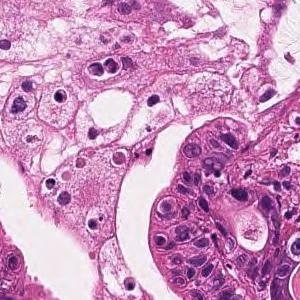
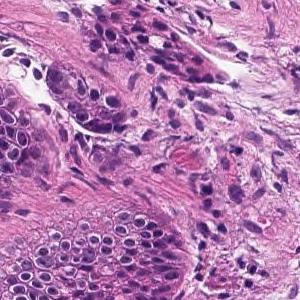
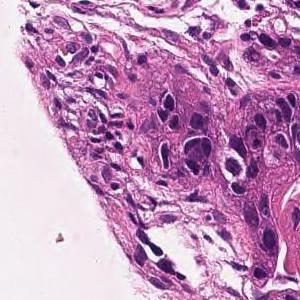
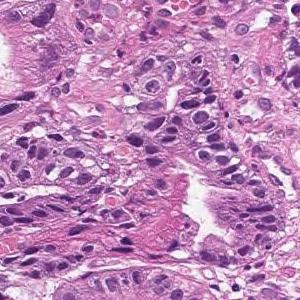
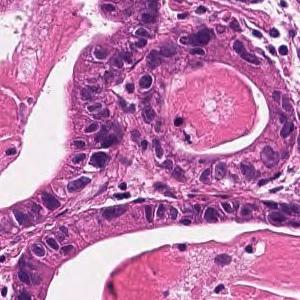
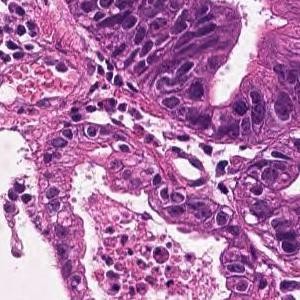
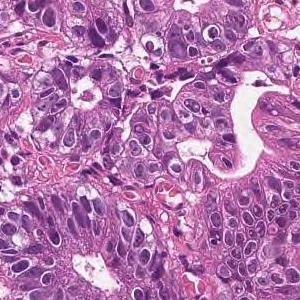
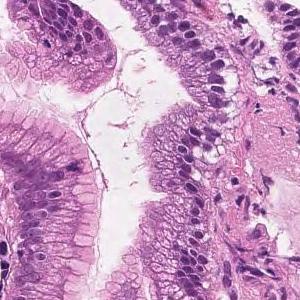
8 tiles cut from one stomach biopsy slide · each 300 × 300 pixels · 20× magnification · H&E.
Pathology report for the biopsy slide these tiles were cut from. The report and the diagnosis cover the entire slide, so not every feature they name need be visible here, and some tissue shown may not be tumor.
In the superficial epithelium, tumor tissue that invades by forming medium-sized to small, irregular ducts is observed. Well differentiated tubular adenocarcinoma.
